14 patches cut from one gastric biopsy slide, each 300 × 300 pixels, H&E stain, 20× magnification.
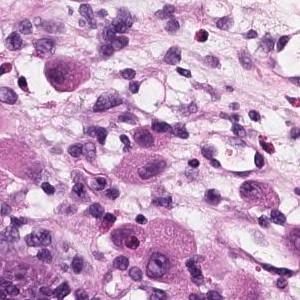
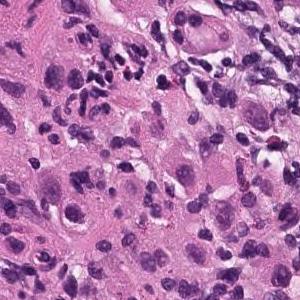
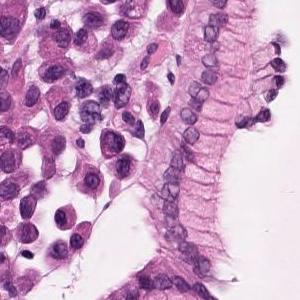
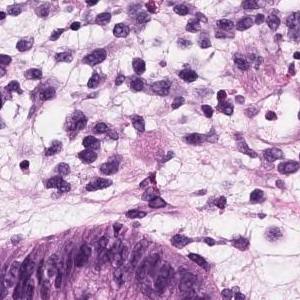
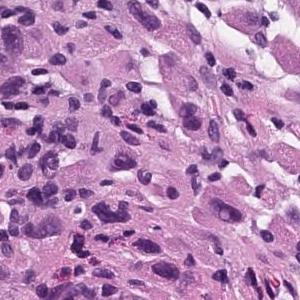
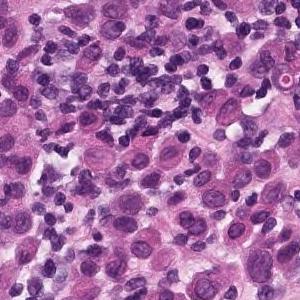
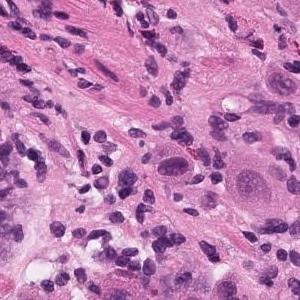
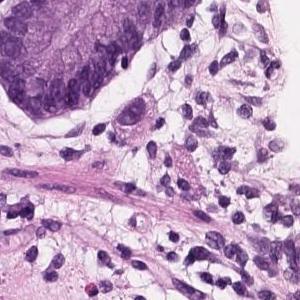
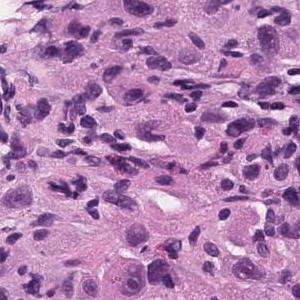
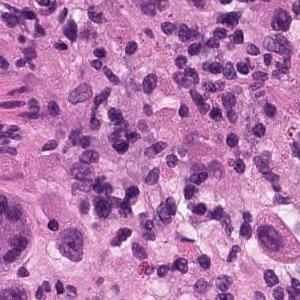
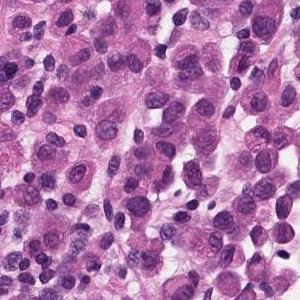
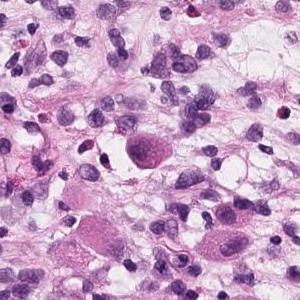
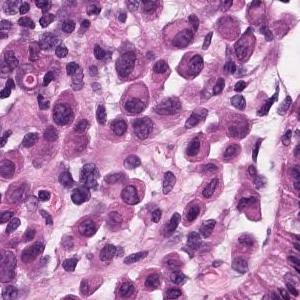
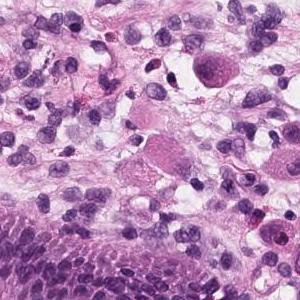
Pathology report for the slide these tiles were cut from. What the report and the diagnosis say applies to the whole slide; these tiles may miss some of the features named and may include tissue that is not tumor.
Tumor cells with dense chromatin infiltrate and proliferate in the interstitium in an isolated and scattered manner. Poorly differentiated adenocarcinoma
Tumor subtype: poorly differentiated adenocarcinoma, solid type (Japanese Classification of Gastric Carcinoma). The WHO 2019 equivalent is tubular adenocarcinoma, poorly differentiated.
